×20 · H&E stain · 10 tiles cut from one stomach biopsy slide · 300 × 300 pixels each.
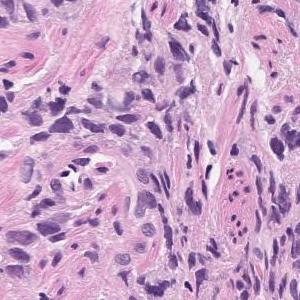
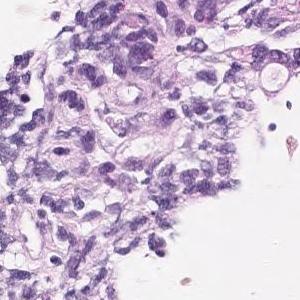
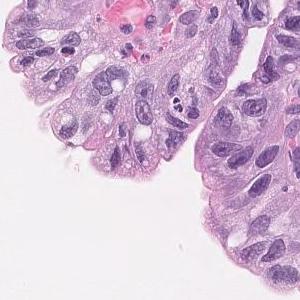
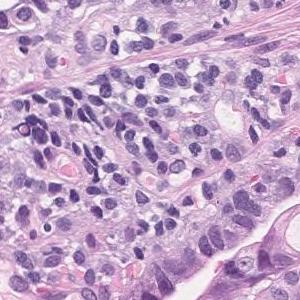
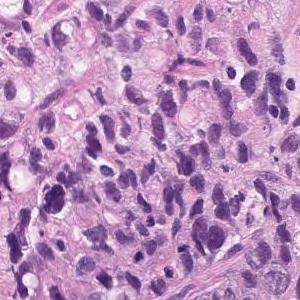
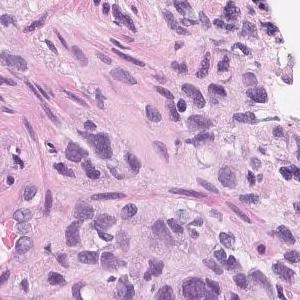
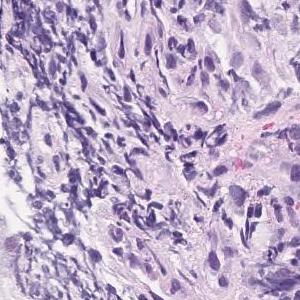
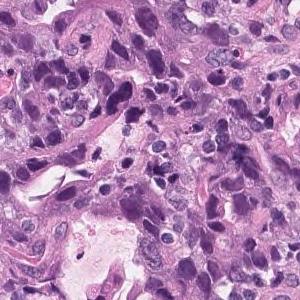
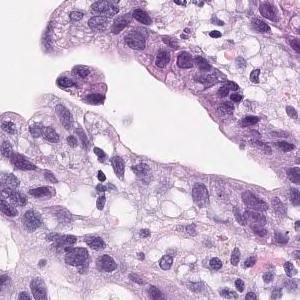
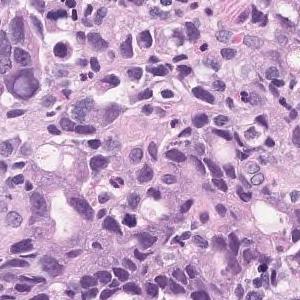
Pathology report for the slide these tiles were cut from. The report and the diagnosis cover the entire slide, so not every feature they name need be visible here, and some tissue shown may not be tumor.
Tumor tissue consisting of medium-sized, cord-like or irregular glandular infiltration is observed in the superficial epithelium. Poorly differentiated adenocarcinoma, non-solid type or moderately differentiated tubular adenocarcinoma
The dataset labels this slide poorly differentiated adenocarcinoma, non-solid type.
The non-solid type named here is a Japanese Classification of Gastric Carcinoma category.
